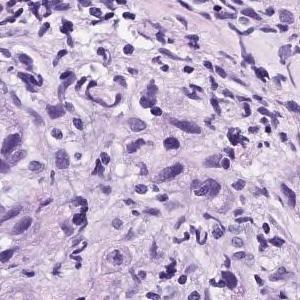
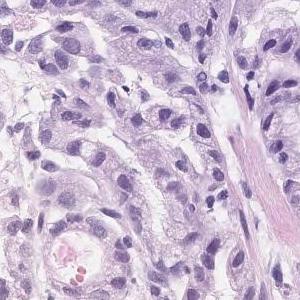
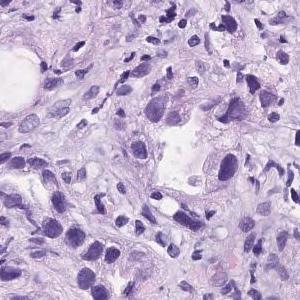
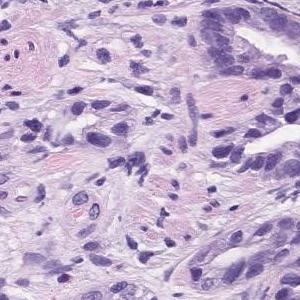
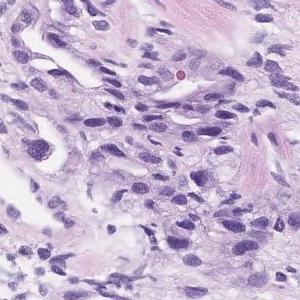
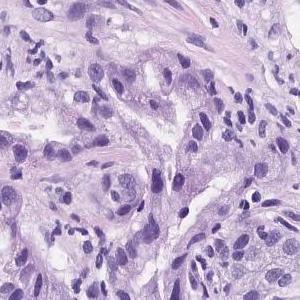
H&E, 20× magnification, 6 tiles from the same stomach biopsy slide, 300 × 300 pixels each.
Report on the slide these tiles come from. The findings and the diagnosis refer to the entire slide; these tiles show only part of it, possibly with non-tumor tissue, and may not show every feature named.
Atypical epithelial cells with some large atypical nuclei growing in the form of agglomerates or cords from tubular glands is observed. moderately differentiated tubular adenocarcinoma
